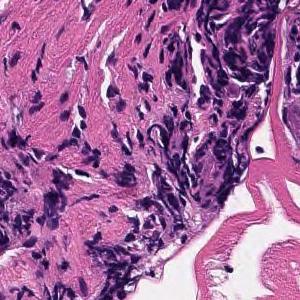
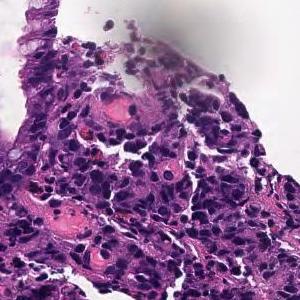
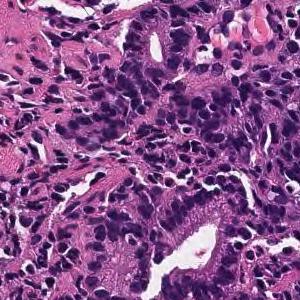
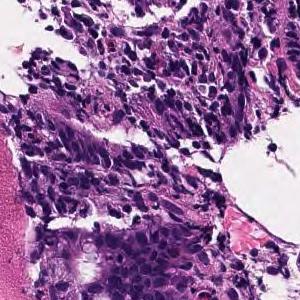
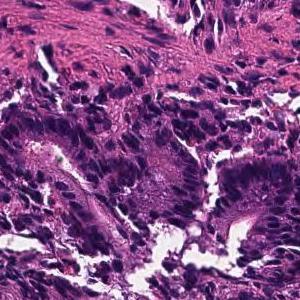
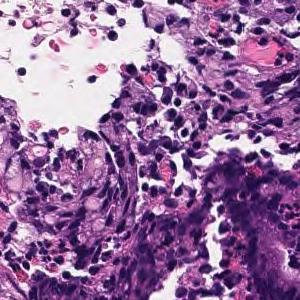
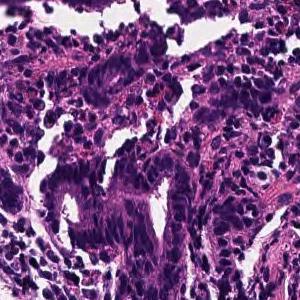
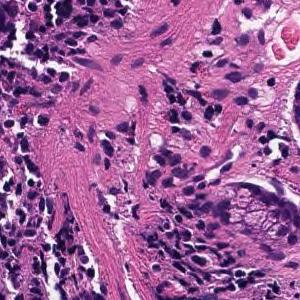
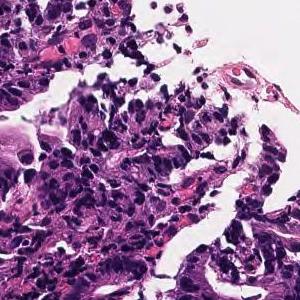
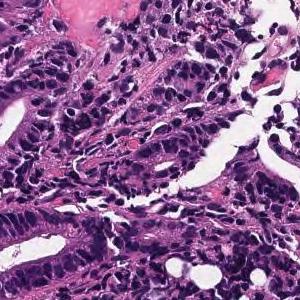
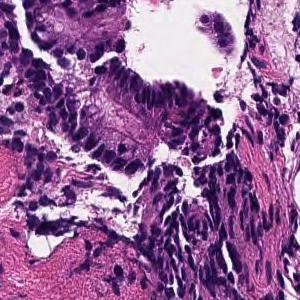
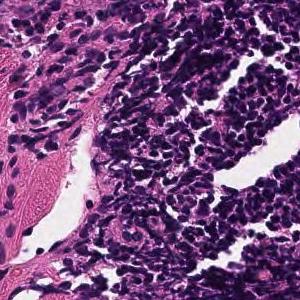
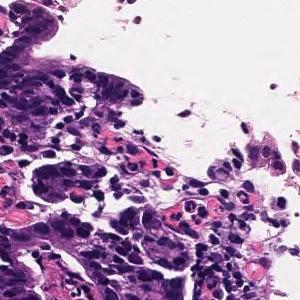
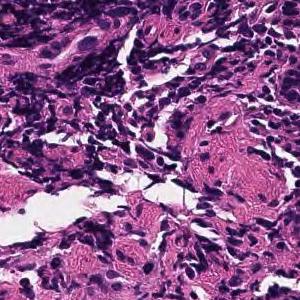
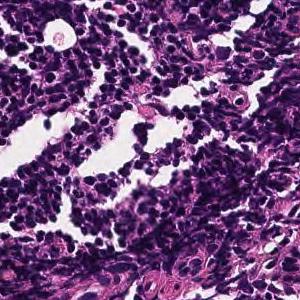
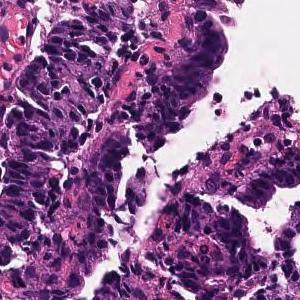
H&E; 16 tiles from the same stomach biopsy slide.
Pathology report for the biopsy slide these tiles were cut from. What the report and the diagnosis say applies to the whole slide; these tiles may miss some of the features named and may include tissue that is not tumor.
In the superficial epithelium, tumor tissue that invades by forming medium-sized to small, irregular ducts is observed. moderately differentiated tubular adenocarcinoma.
